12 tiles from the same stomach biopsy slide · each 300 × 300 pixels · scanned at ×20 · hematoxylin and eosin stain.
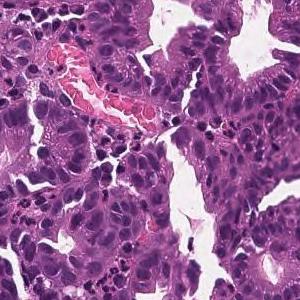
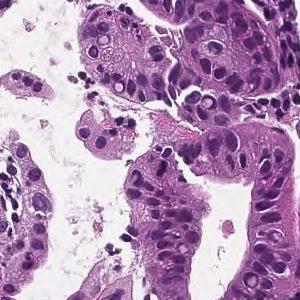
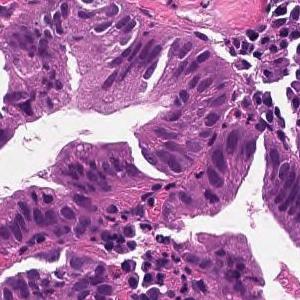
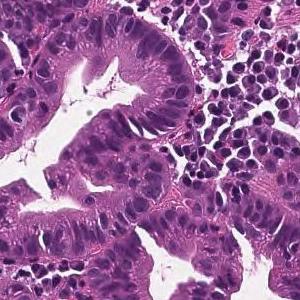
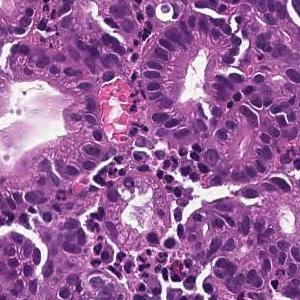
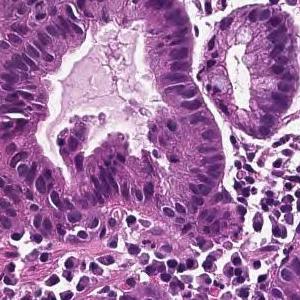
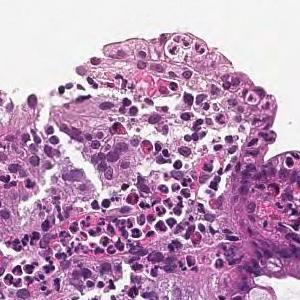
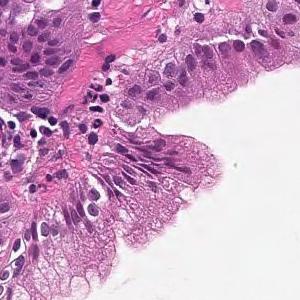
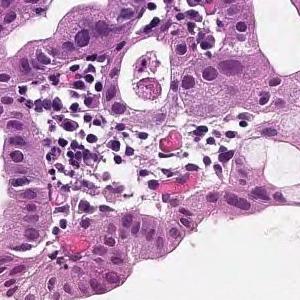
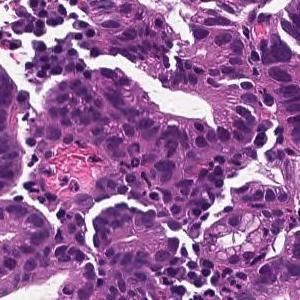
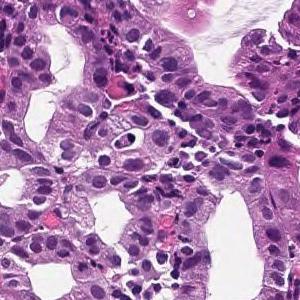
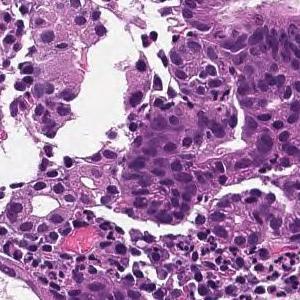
Diagnostic report for the slide these tiles come from. The report and the diagnosis cover the entire slide, so not every feature they name need be visible here, and some tissue shown may not be tumor.
From the superficial epithelium to the muscularis mucosae, tumor tissue consisting of medium-sized and irregular glandular ducts infiltrating is observed. Well differentiated tubular adenocarcinoma
